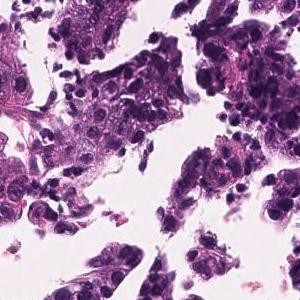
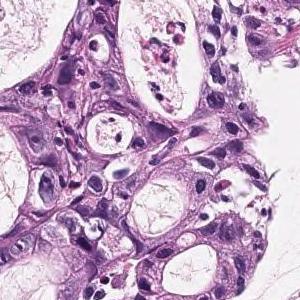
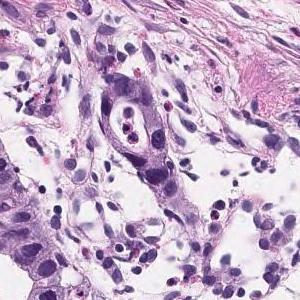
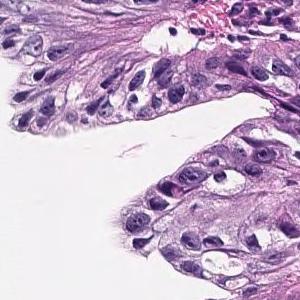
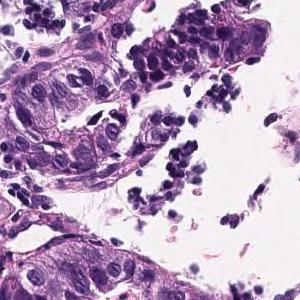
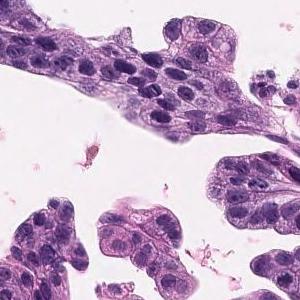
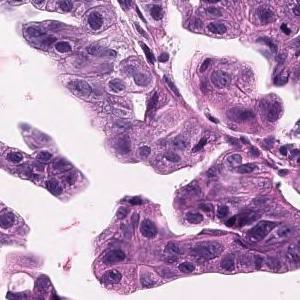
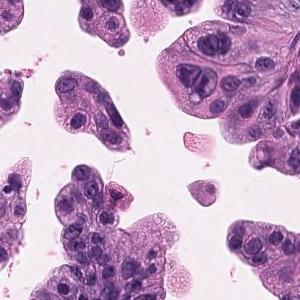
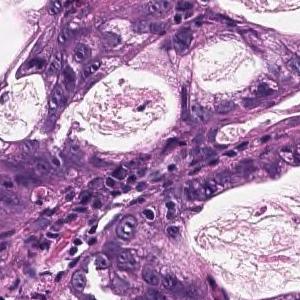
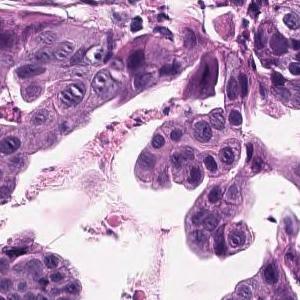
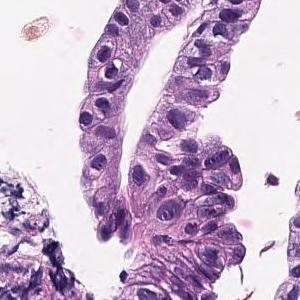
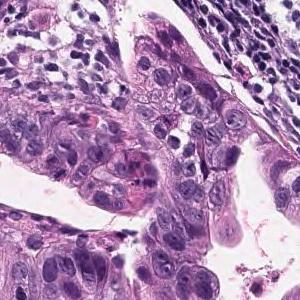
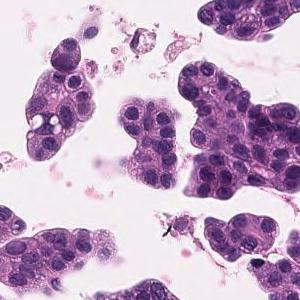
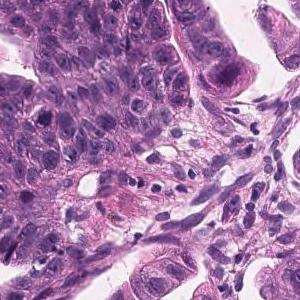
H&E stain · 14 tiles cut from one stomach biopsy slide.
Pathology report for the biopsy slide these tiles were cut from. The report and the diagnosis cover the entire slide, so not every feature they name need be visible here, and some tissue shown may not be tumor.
Tumor cells are large, highly columnar, large club-shaped nuclei, and are associated with chromatin aggregation. Papillary adenocarcinoma.
